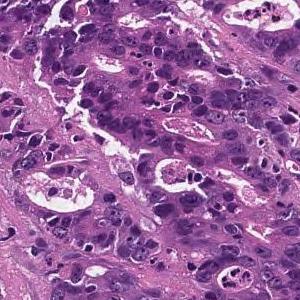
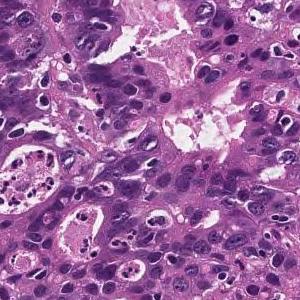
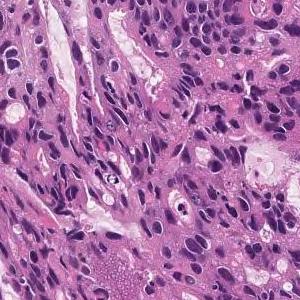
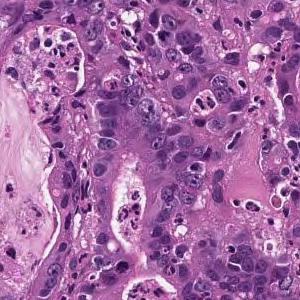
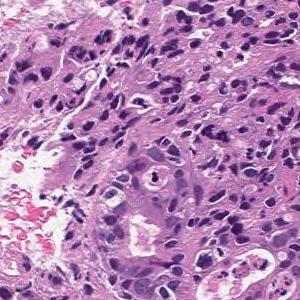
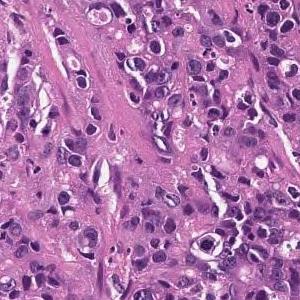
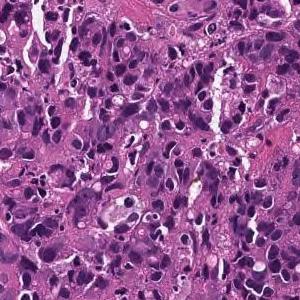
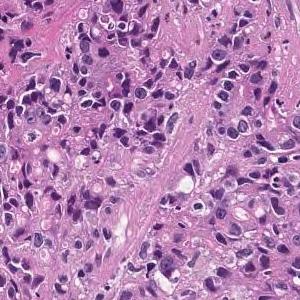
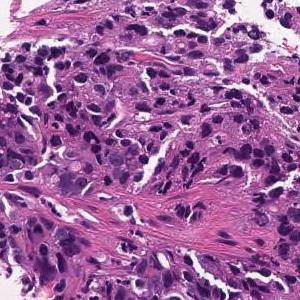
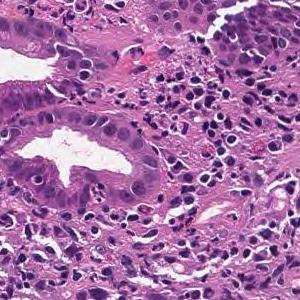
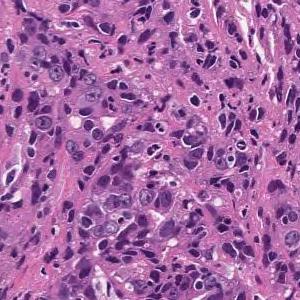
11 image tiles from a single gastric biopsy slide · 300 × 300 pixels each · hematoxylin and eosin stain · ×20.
Diagnostic report for the slide these tiles come from. Both the report and the diagnosis are for the whole slide: these tiles need not show every feature named, and some of the tissue shown may not be tumor.
In the superficial epithelium, tumor tissue that invades by forming medium-sized to small, irregular ducts is observed. moderately differentiated tubular adenocarcinoma.
